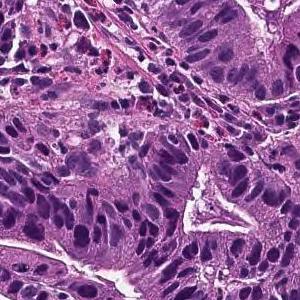
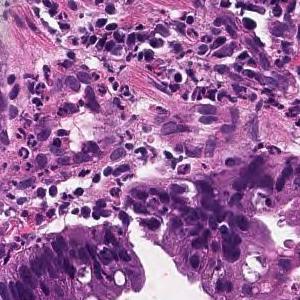
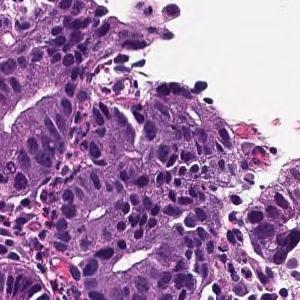
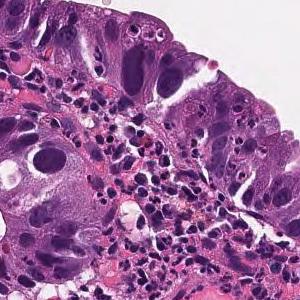
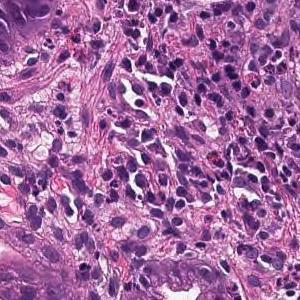
5 image tiles from a single gastric biopsy slide, ×20, H&E.
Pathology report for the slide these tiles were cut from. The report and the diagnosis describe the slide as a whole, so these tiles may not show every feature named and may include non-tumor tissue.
From the superficial epithelium to the muscularis mucosae, tumor tissue consisting of medium-sized and irregular glandular ducts infiltrating is observed. Well differentiated tubular adenocarcinoma
